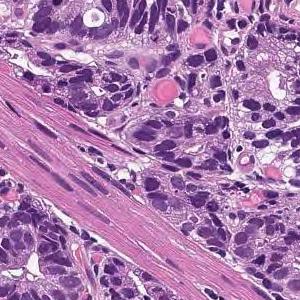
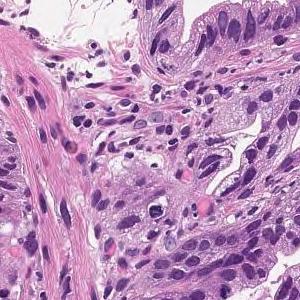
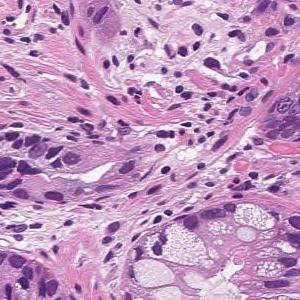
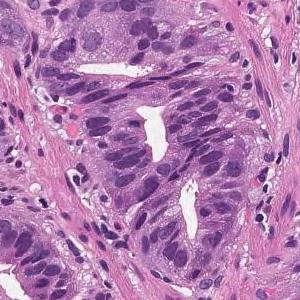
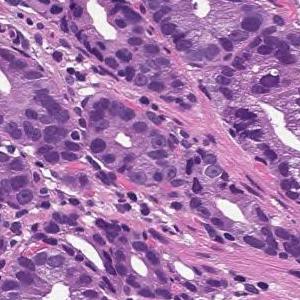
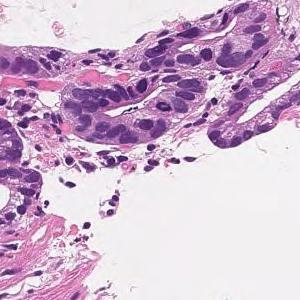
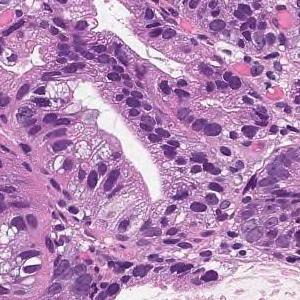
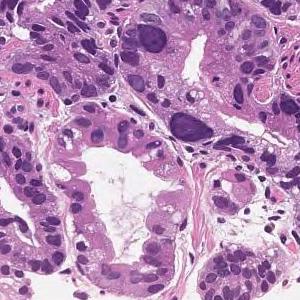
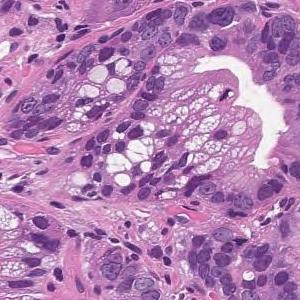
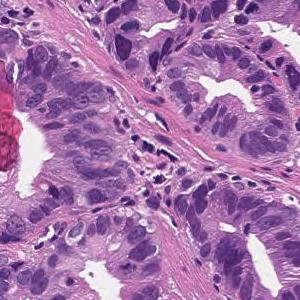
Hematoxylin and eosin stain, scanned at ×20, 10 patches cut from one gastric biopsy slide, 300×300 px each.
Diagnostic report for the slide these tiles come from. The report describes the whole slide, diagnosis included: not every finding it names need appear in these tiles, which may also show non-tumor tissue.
On the superficial epithelium, tumor tissue consisting of large irregular glandular ducts partially fused and infiltrated is observed. Well to moderately differentiated tubular adenocarcinoma (well differentiated tubular adenocarcinoma, moderately differentiated tubular adenocarcinoma)
Histologic type: Well to moderately differentiated tubular adenocarcinoma.
